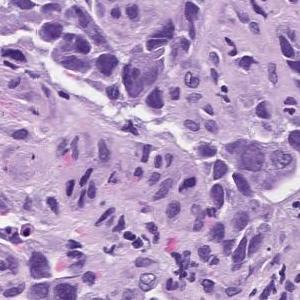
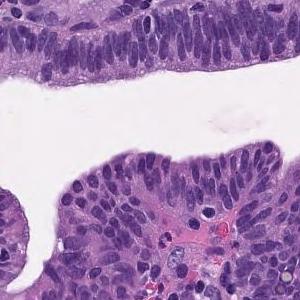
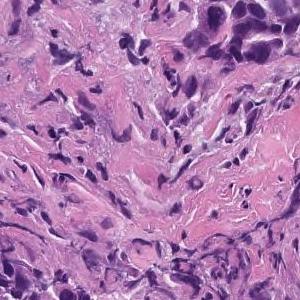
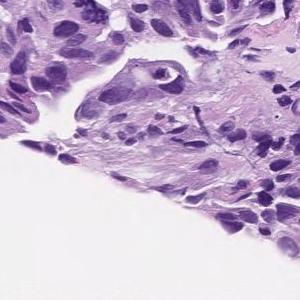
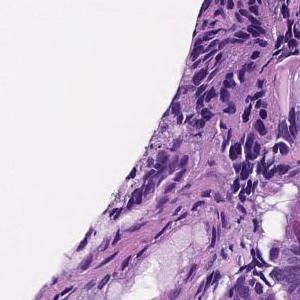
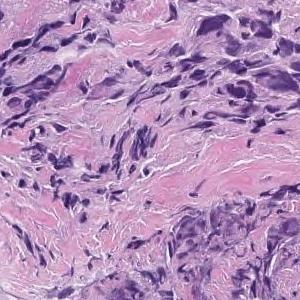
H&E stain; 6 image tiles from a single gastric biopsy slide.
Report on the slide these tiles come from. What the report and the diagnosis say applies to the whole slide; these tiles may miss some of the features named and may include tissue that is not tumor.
In the superficial epithelium, tumor tissue that invades by forming medium-sized to small, irregular ducts is observed. moderately differentiated tubular adenocarcinoma.
